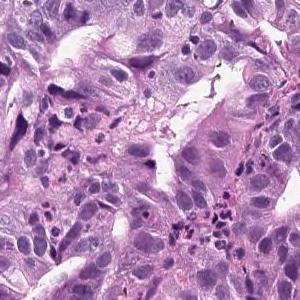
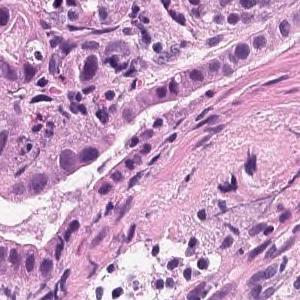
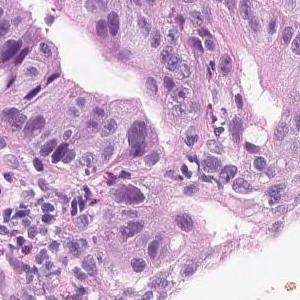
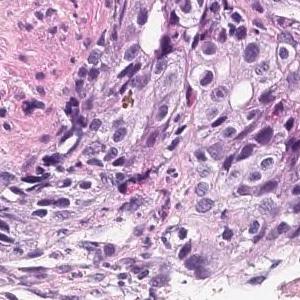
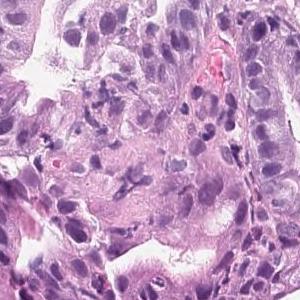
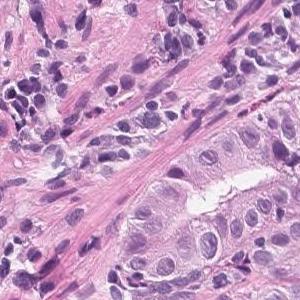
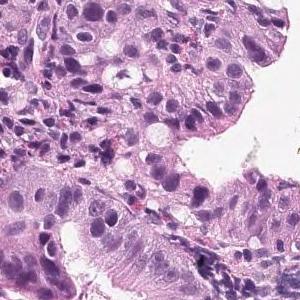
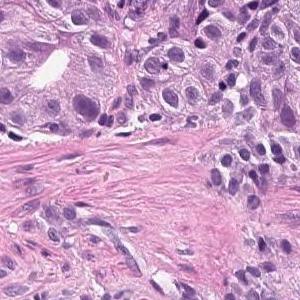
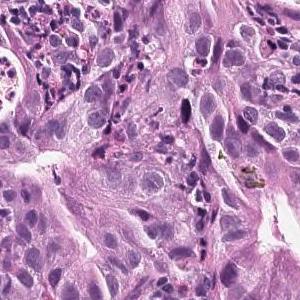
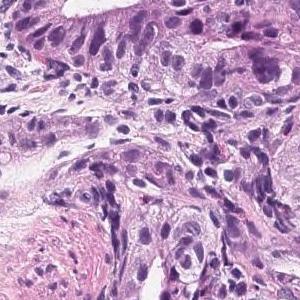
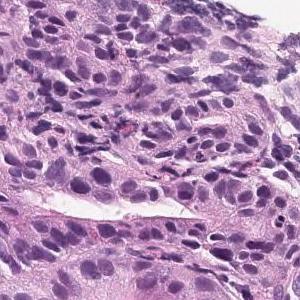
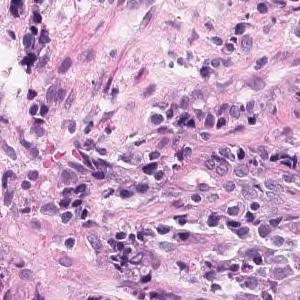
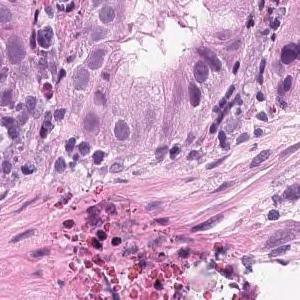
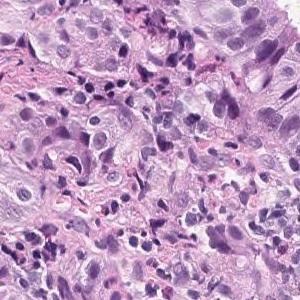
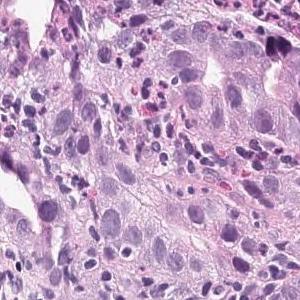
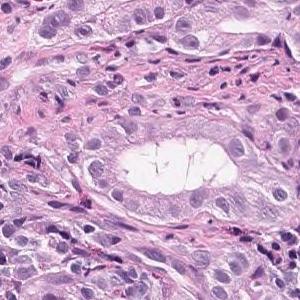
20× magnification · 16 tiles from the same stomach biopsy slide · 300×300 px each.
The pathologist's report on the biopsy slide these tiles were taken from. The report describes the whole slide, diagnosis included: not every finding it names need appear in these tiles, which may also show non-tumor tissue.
On the superficial epithelium, tumor tissue consisting of medium-sized to large-sized, irregular tubules partially fused and densely proliferating is observed. moderately differentiated tubular adenocarcinoma
